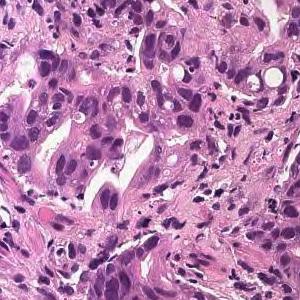
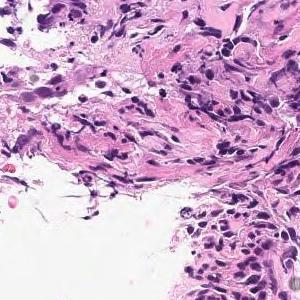
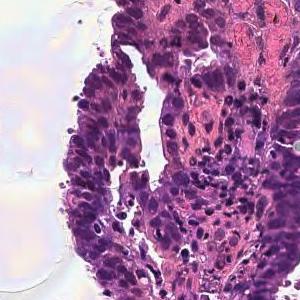
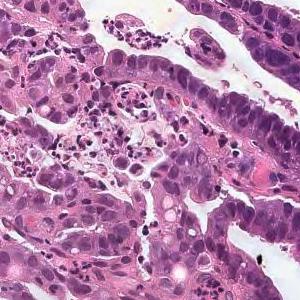
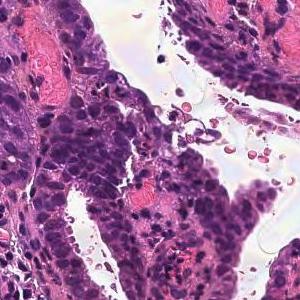
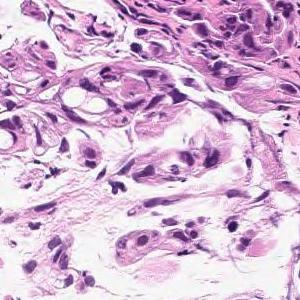
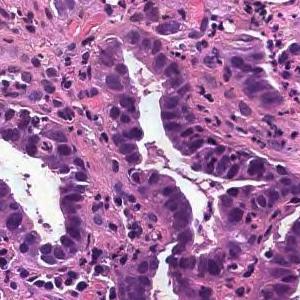
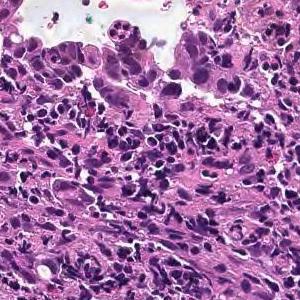
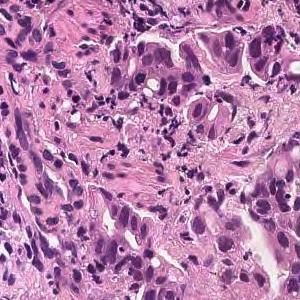
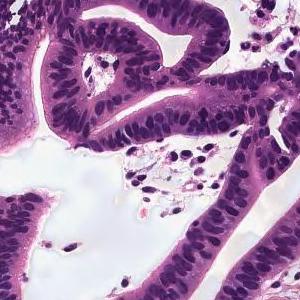
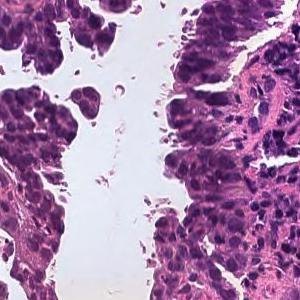
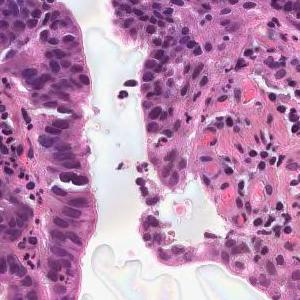
12 tiles from the same stomach biopsy slide, each 300 × 300 pixels, scanned at ×20.
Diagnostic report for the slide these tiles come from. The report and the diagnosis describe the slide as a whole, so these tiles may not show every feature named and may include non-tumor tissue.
From the superficial epithelium to the muscularis mucosae, tumor tissue consisting of medium-sized and irregular glandular ducts infiltrating is observed. Well differentiated tubular adenocarcinoma
